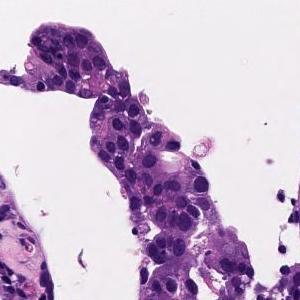
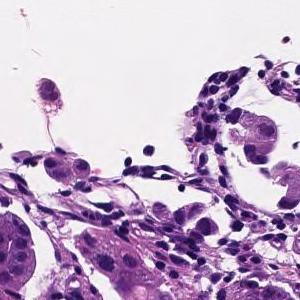
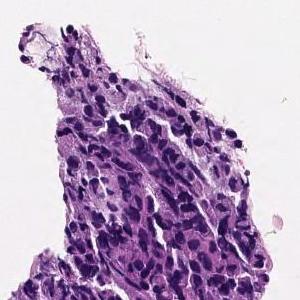
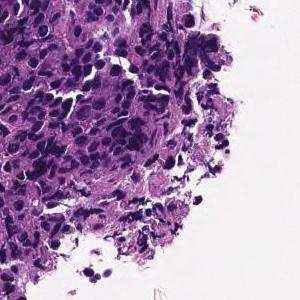
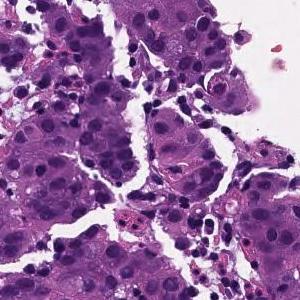
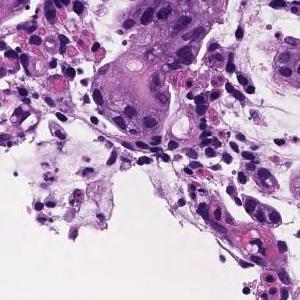
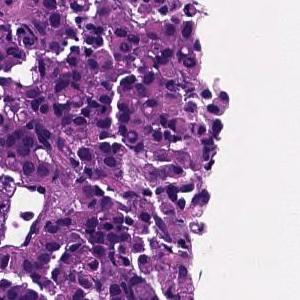
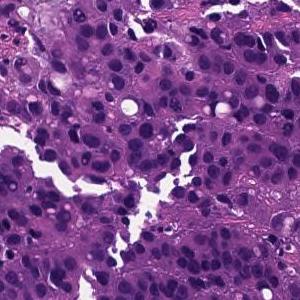
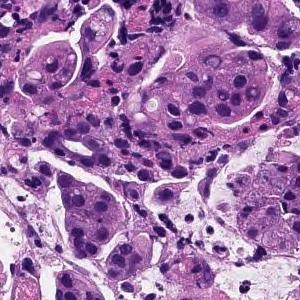
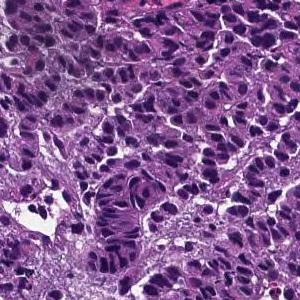
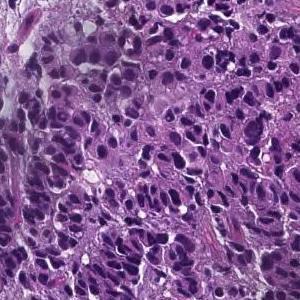
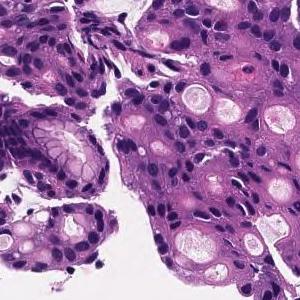
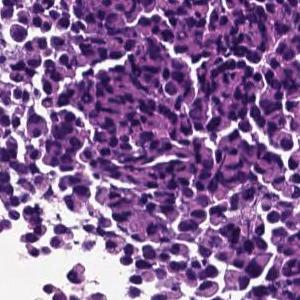
H&E stain; 13 patches cut from one gastric biopsy slide.
Diagnostic report for the slide these tiles come from. The findings and the diagnosis refer to the entire slide; these tiles show only part of it, possibly with non-tumor tissue, and may not show every feature named.
The superficial epithelium shows a large sheet-like shape, and some tumor tissue infiltrates with small irregular ducts. Poorly differentiated adenocarcinoma, solid-type
Subtype: Poorly differentiated adenocarcinoma, solid type (Japanese Classification of Gastric Carcinoma). The WHO 2019 equivalent is tubular adenocarcinoma, poorly differentiated.
